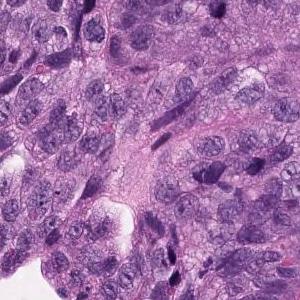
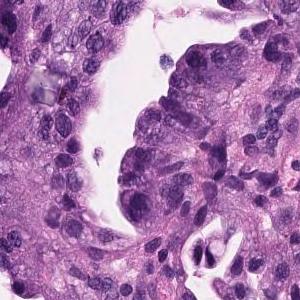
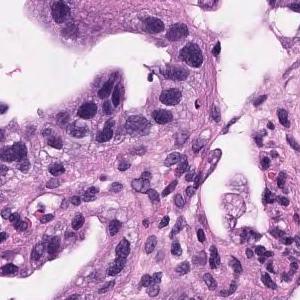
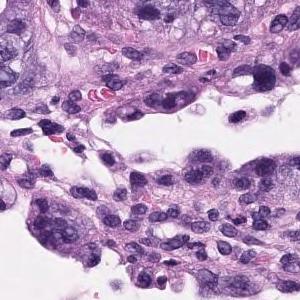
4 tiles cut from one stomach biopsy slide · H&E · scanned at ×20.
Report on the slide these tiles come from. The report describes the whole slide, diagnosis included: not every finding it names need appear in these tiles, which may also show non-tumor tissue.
Tumor cells are large, highly columnar, large club-shaped nuclei, and are associated with chromatin aggregation. Papillary adenocarcinoma.
